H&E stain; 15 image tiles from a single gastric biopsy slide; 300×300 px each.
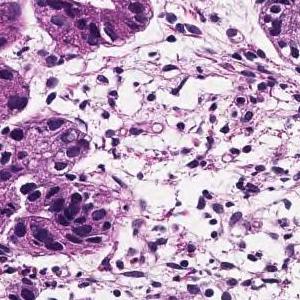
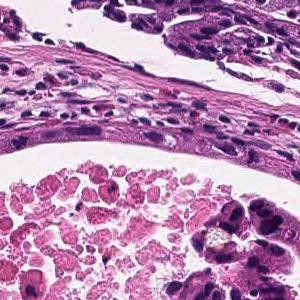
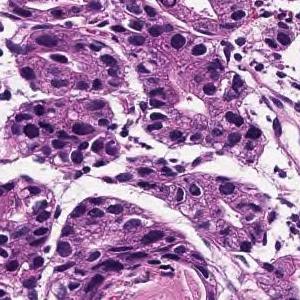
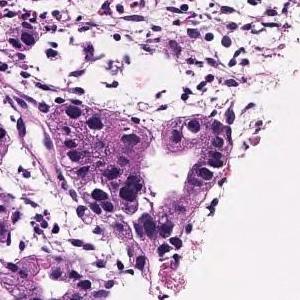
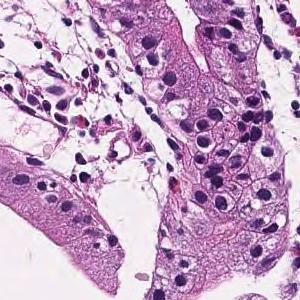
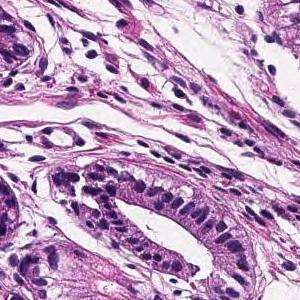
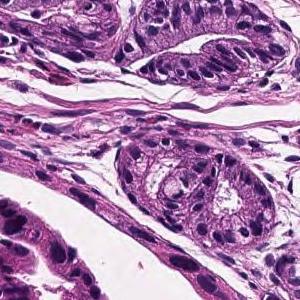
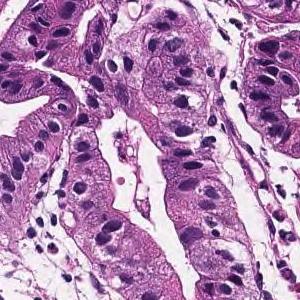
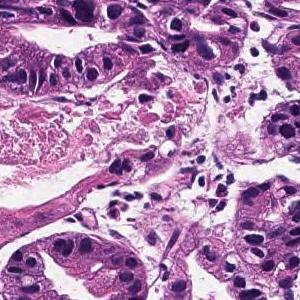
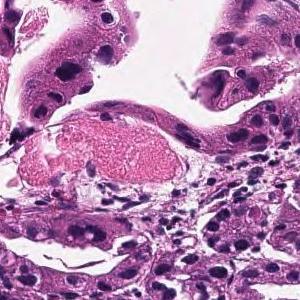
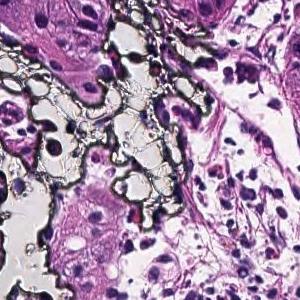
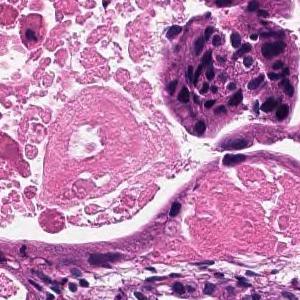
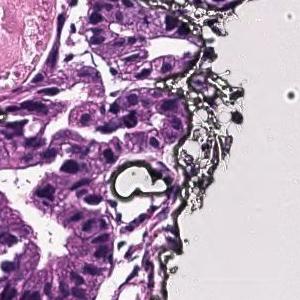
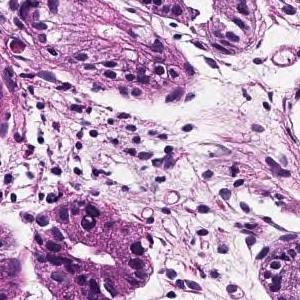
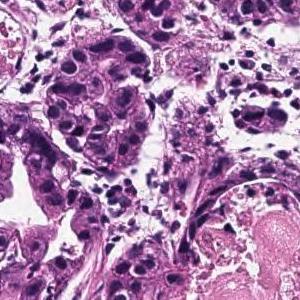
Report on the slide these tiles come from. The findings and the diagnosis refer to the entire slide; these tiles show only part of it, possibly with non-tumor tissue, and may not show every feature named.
On the superficial epithelium, tumor tissue consisting of large, irregular glandular ducts partially fused and infiltrated is observed. Well to moderately differentiated tubular adenocarcinoma (well differentiated tubular adenocarcinoma, moderately differentiated tubular adenocarcinoma)
Classified as well to moderately differentiated tubular adenocarcinoma.
